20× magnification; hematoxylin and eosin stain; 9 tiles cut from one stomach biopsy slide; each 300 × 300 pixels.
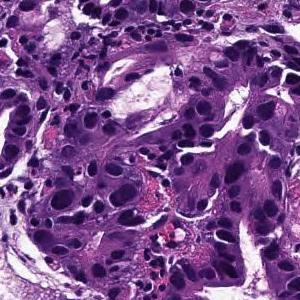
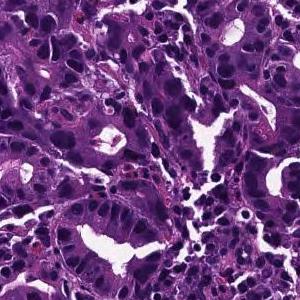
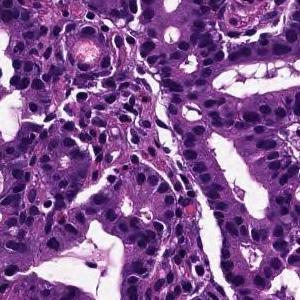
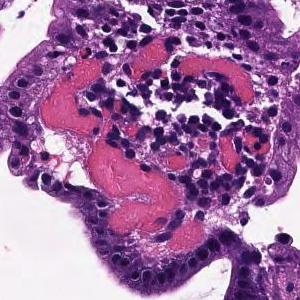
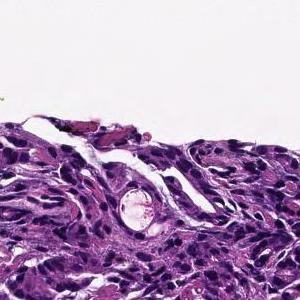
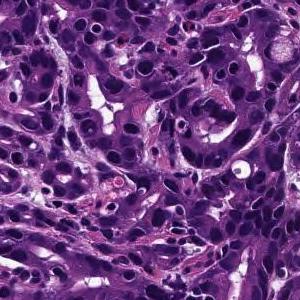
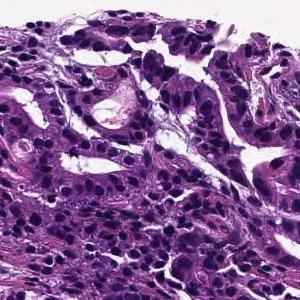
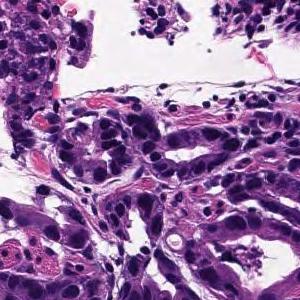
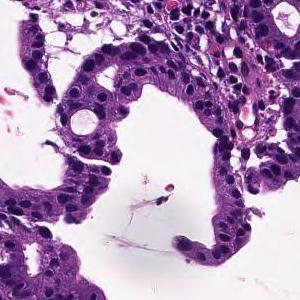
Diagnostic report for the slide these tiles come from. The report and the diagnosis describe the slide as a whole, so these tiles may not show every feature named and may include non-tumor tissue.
From the superficial epithelium to the muscularis mucosae, tumor tissue consisting of medium-sized and irregular glandular ducts infiltrating is observed. Well differentiated tubular adenocarcinoma
